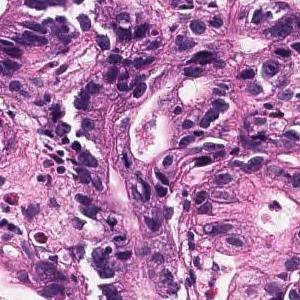
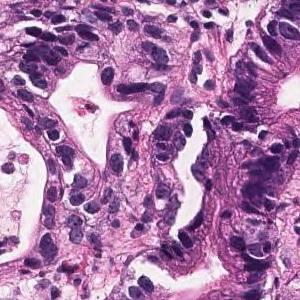
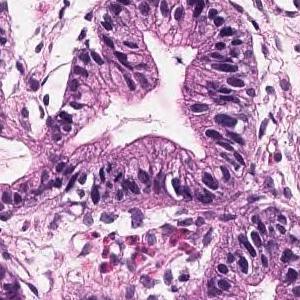
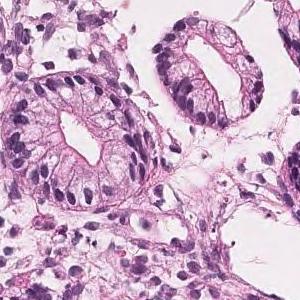
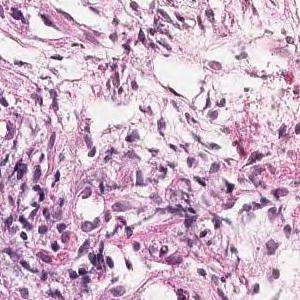
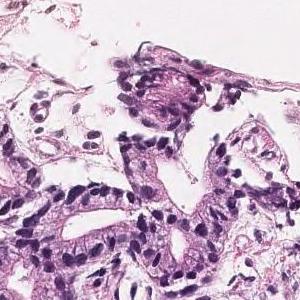
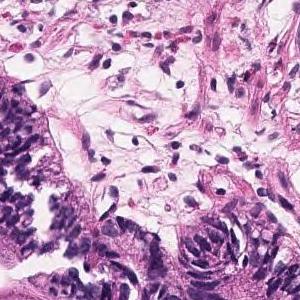
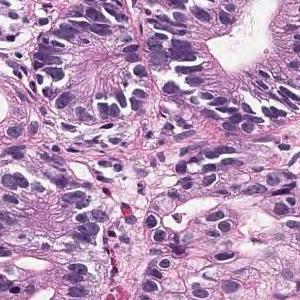
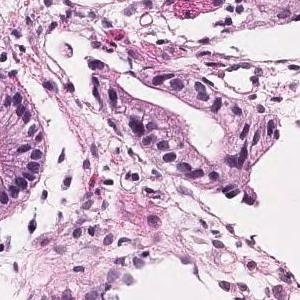
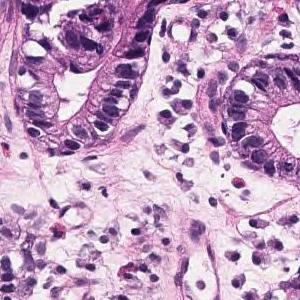
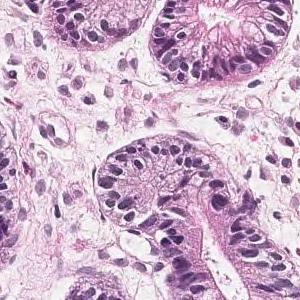
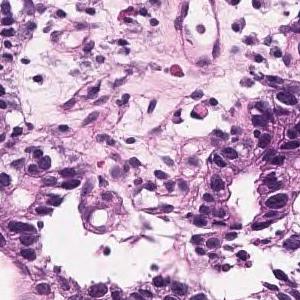
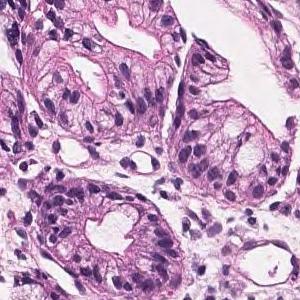
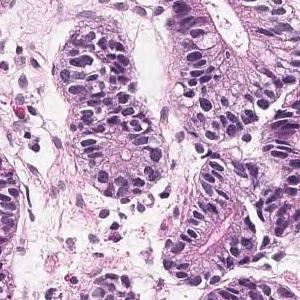
20× magnification, hematoxylin and eosin stain, 14 tiles cut from one stomach biopsy slide, 300 × 300 pixels each.
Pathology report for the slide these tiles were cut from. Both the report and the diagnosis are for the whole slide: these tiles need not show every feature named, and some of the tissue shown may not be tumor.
Tumor tissue in which medium to small irregular ducts infiltrate and proliferate in the submucosa can be seen in the epithelium. Well differentiated tubular adenocarcinoma
